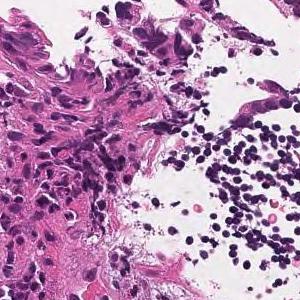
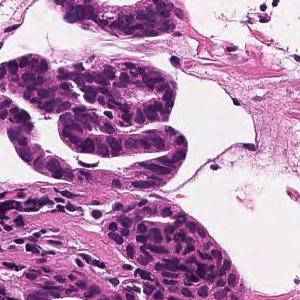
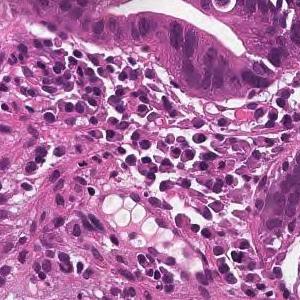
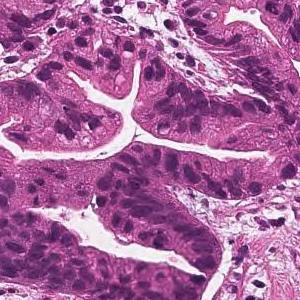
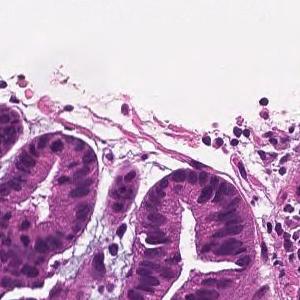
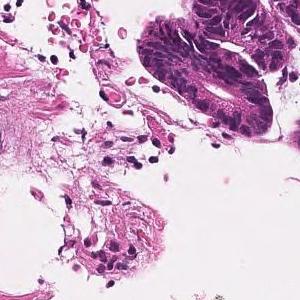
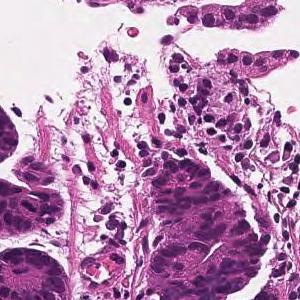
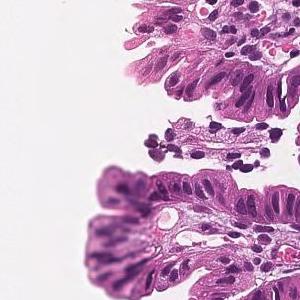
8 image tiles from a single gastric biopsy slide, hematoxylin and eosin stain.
Diagnostic report for the slide these tiles come from. The findings and the diagnosis refer to the entire slide; these tiles show only part of it, possibly with non-tumor tissue, and may not show every feature named.
From the superficial epithelium to the muscularis mucosae, tumor tissue consisting of medium-sized and irregular glandular ducts infiltrating is observed. Well differentiated tubular adenocarcinoma
